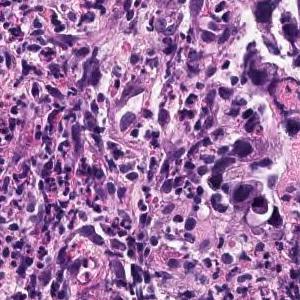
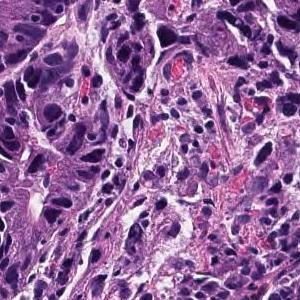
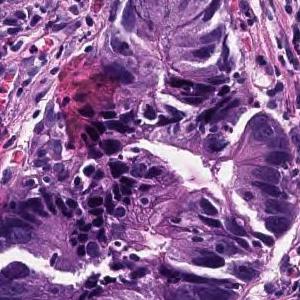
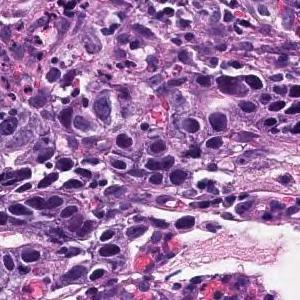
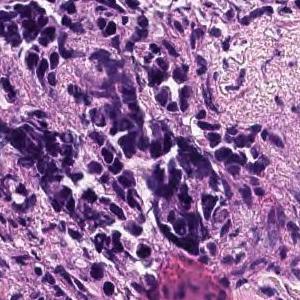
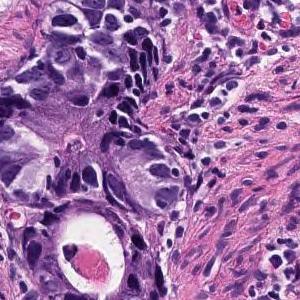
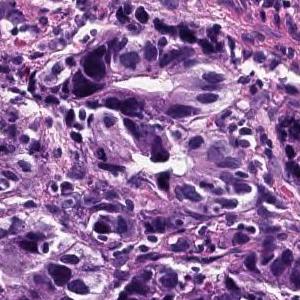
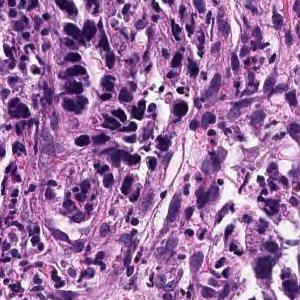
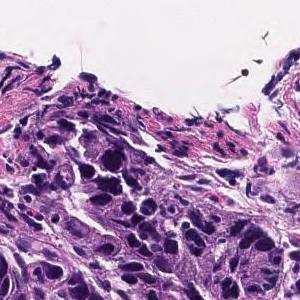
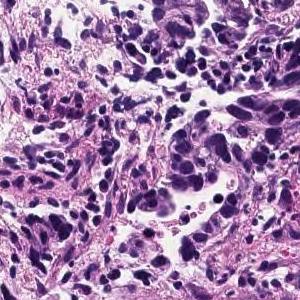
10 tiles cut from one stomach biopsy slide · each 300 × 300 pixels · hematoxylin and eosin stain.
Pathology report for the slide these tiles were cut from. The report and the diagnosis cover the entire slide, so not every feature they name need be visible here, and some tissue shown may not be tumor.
In the superficial epithelium, tumor tissue that invades by forming medium-sized to small, irregular ducts is observed. Tumor cells are columnar or cuboidal in shape. Moderately differentiated adenocarcinoma.
Histological subtype: Moderately differentiated tubular adenocarcinoma.
